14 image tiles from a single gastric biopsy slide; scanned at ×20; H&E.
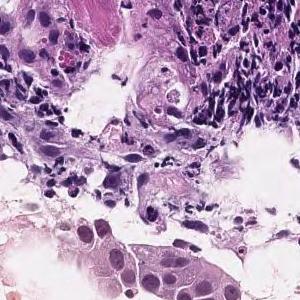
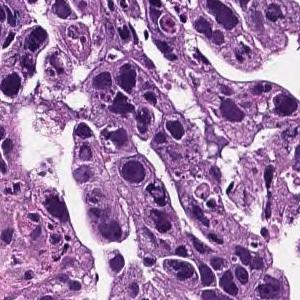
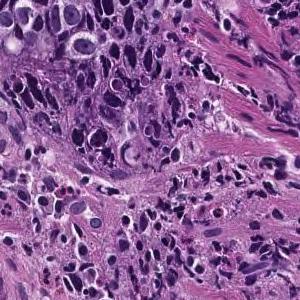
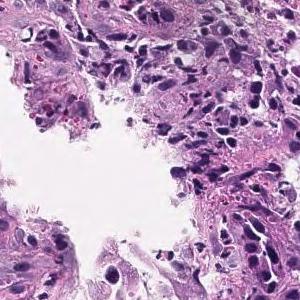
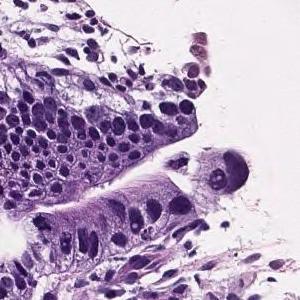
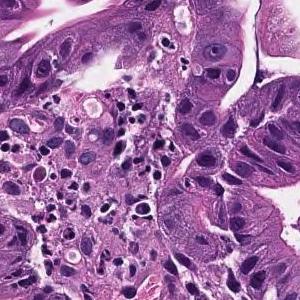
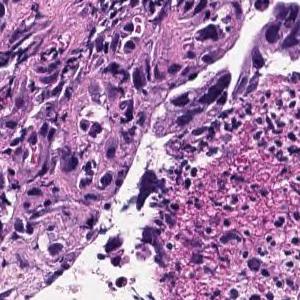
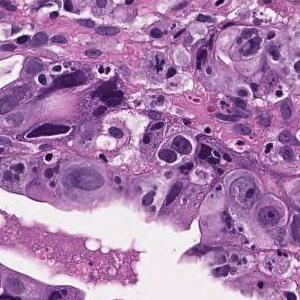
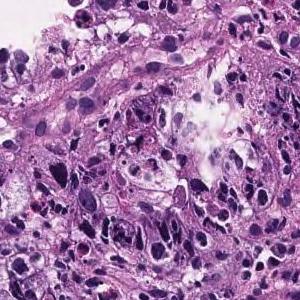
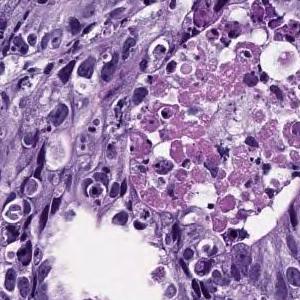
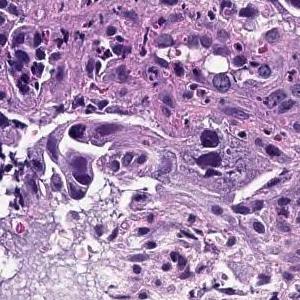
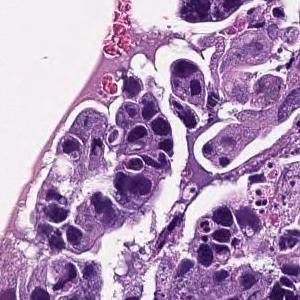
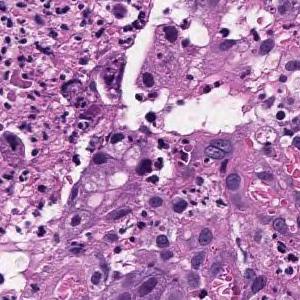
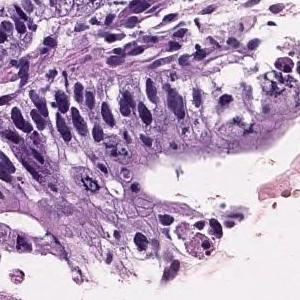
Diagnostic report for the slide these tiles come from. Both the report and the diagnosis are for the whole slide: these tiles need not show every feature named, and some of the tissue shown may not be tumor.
In the superficial epithelium, medium to small irregular gland ducts are formed, and in some cases, the ducts are fused to show solid alveolar lesions and infiltrating tumor tissue is observed. Moderately to poorly differentiated adenocarcinoma
